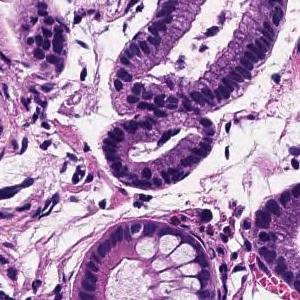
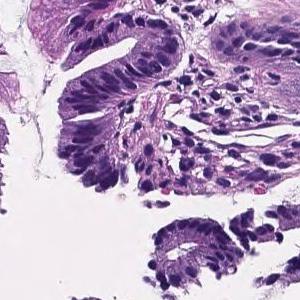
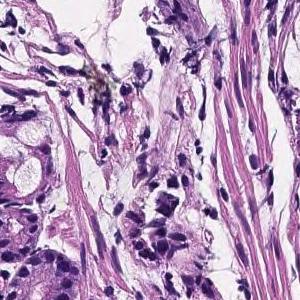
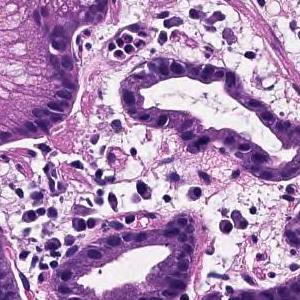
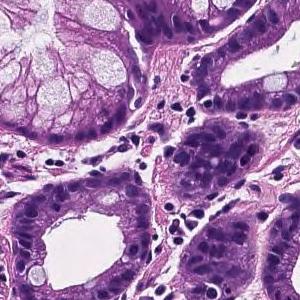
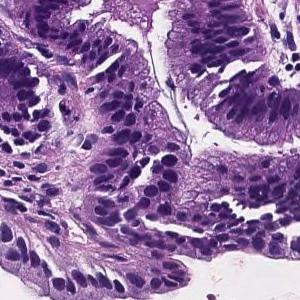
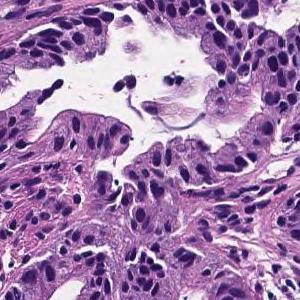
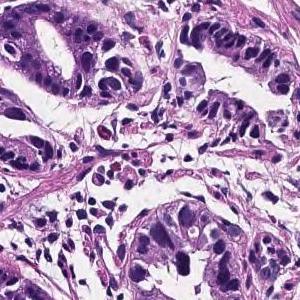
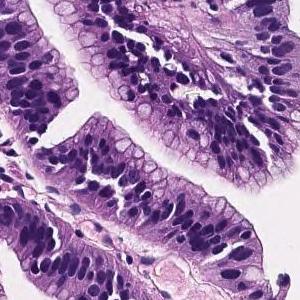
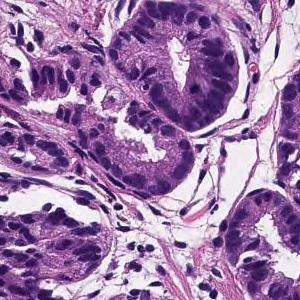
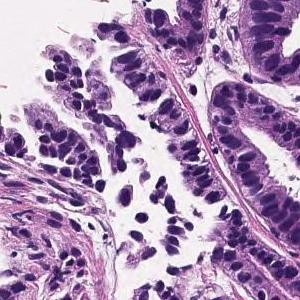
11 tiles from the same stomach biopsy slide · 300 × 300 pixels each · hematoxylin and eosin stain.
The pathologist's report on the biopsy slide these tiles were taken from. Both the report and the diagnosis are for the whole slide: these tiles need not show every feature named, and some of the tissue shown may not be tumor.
Tumor cells are large, highly columnar, large club-shaped nuclei, and are associated with chromatin aggregation. Papillary adenocarcinoma.
